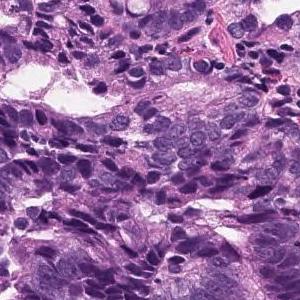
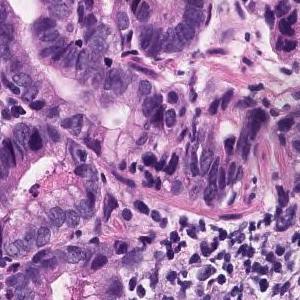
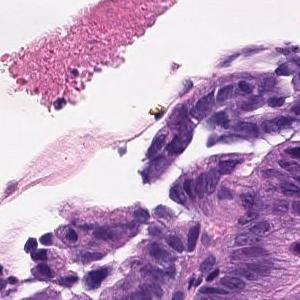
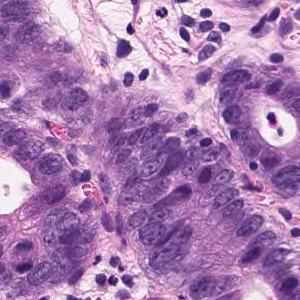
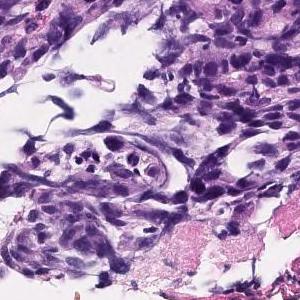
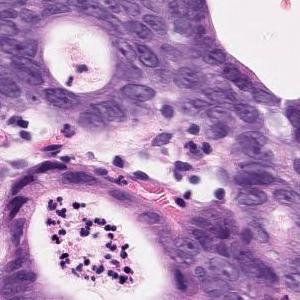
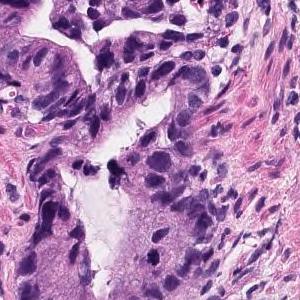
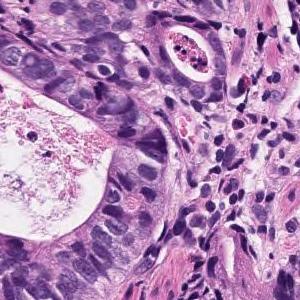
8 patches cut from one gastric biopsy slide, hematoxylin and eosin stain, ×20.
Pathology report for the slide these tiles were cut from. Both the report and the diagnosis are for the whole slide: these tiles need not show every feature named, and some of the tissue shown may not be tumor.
The swollen atypical epithelium of the nucleus forms an irregular ductal structure and proliferates. moderately differentiated tubular adenocarcinoma
